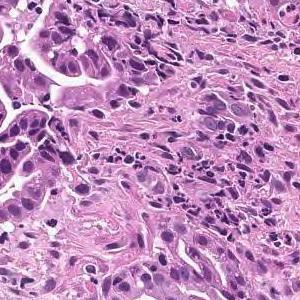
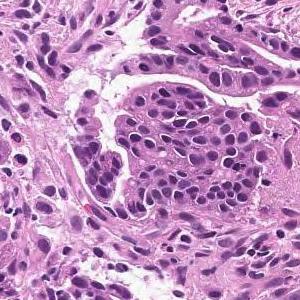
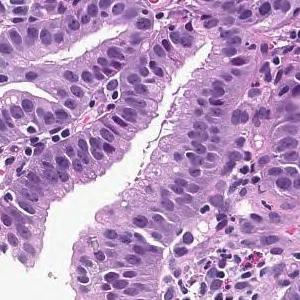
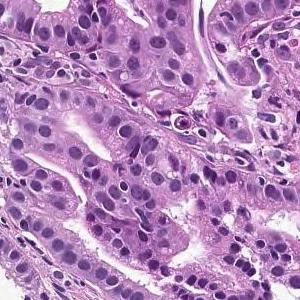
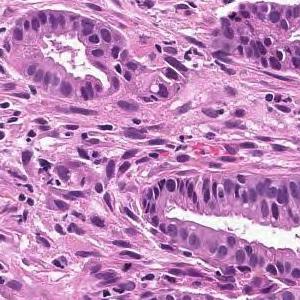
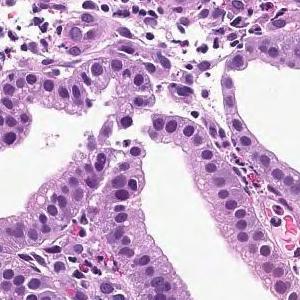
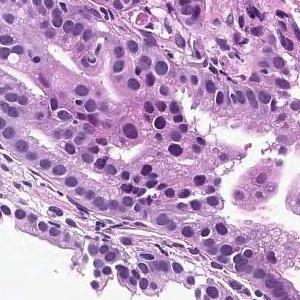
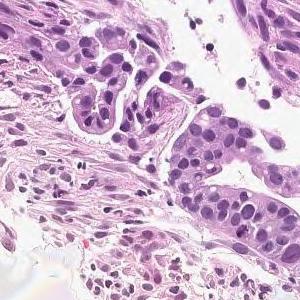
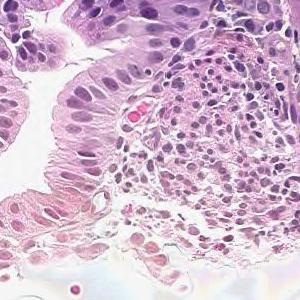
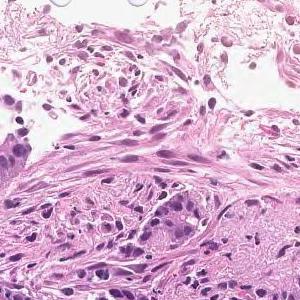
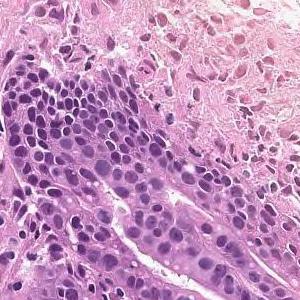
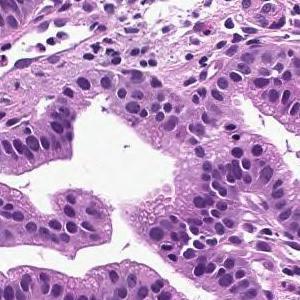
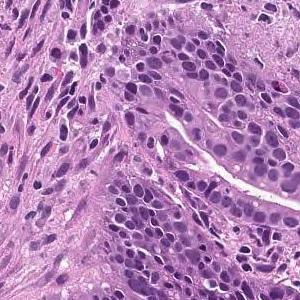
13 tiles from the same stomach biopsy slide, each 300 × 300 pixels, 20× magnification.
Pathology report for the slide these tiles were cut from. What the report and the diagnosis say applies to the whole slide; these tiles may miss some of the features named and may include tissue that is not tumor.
On the superficial epithelium, tumor tissue that infiltrates by forming medium-sized papillary or small irregular ducts is observed. Papillary adenocarcinoma
